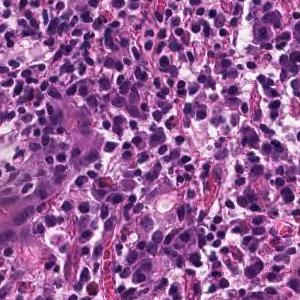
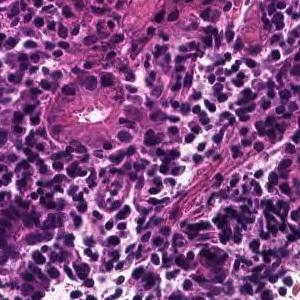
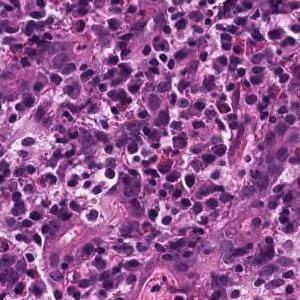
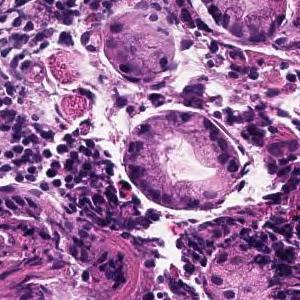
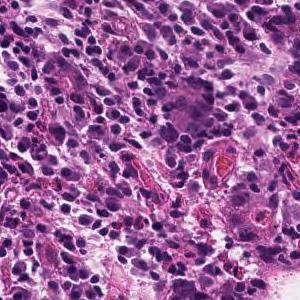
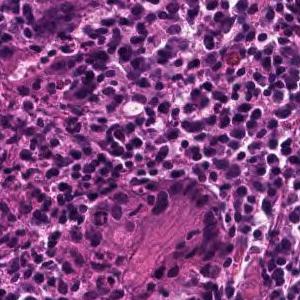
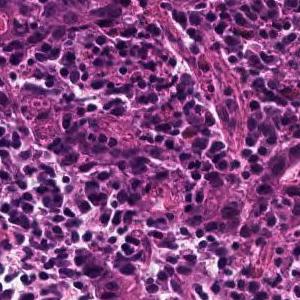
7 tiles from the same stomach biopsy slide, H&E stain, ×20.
Pathology report for the biopsy slide these tiles were cut from. The report describes the whole slide, diagnosis included: not every finding it names need appear in these tiles, which may also show non-tumor tissue.
Tumor tissue consisting of medium-sized, cord-like or irregular glandular infiltration is observed in the superficial epithelium. Poorly differentiated adenocarcinoma, non-solid type or moderately differentiated tubular adenocarcinoma
Dataset label: poorly differentiated adenocarcinoma, non-solid type.
The term "non-solid type" comes from the Japanese Classification of Gastric Carcinoma.
